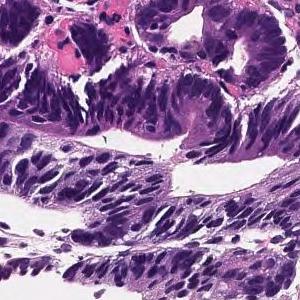
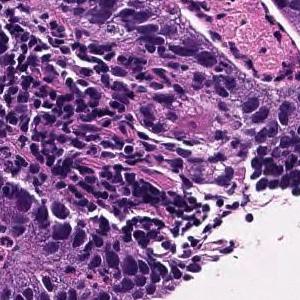
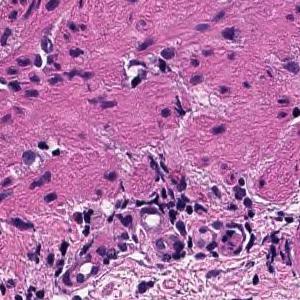
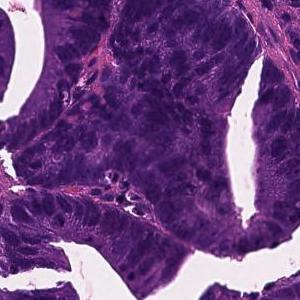
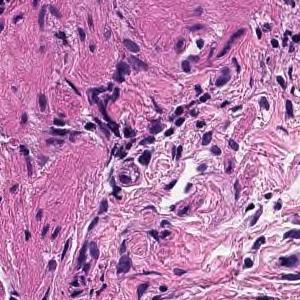
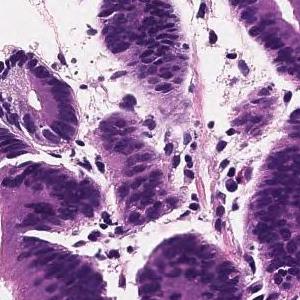
20× magnification · hematoxylin and eosin stain · 6 tiles from the same stomach biopsy slide · each 300 × 300 pixels.
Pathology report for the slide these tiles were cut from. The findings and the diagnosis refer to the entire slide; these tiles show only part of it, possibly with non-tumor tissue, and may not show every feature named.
Tumor tissue consisting of large papillary structures is found in the superficial epithelium. Papillary adenocarcinoma.
